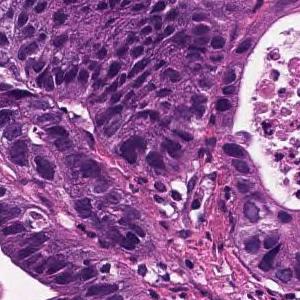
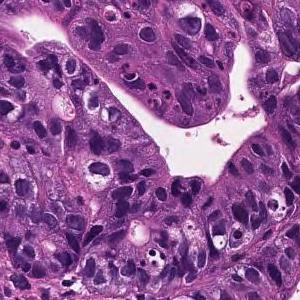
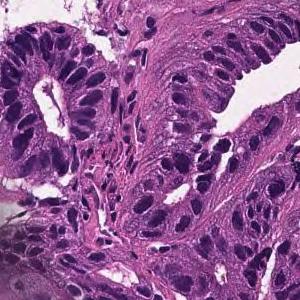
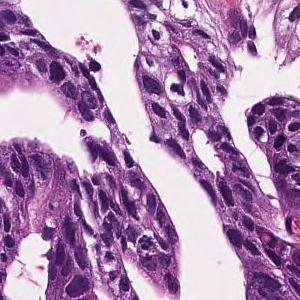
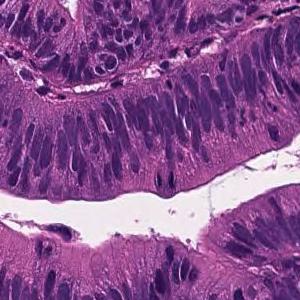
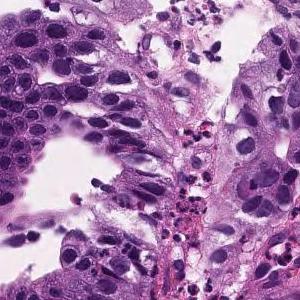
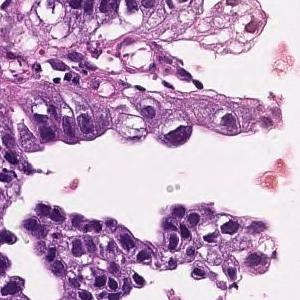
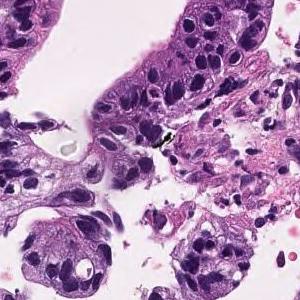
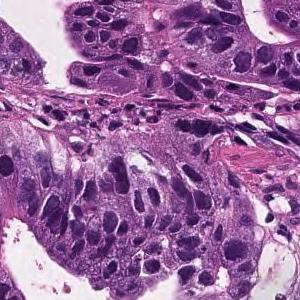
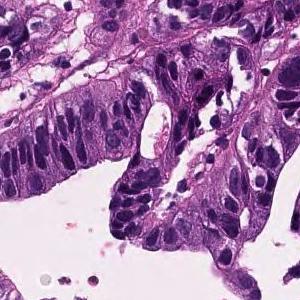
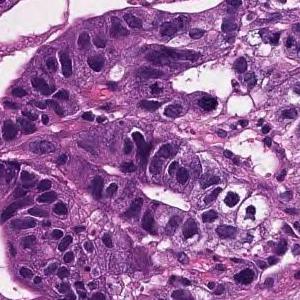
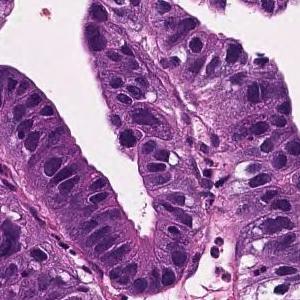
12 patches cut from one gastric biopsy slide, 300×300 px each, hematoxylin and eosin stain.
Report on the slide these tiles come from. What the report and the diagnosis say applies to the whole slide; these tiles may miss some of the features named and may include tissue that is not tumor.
Tumor cells are large, highly columnar, large club-shaped nuclei, and are associated with chromatin aggregation. Papillary adenocarcinoma.
